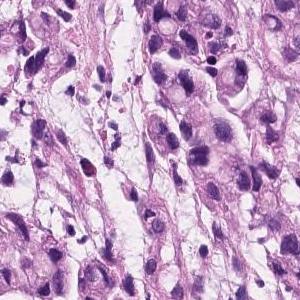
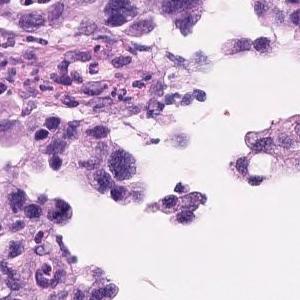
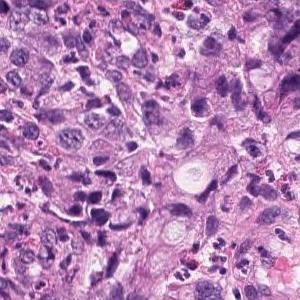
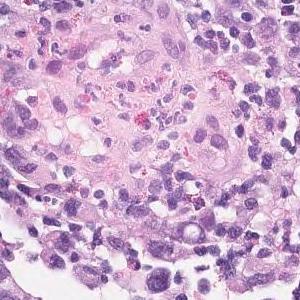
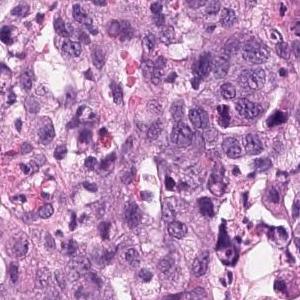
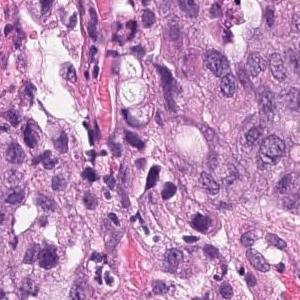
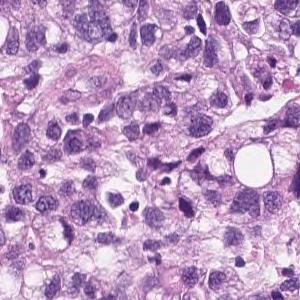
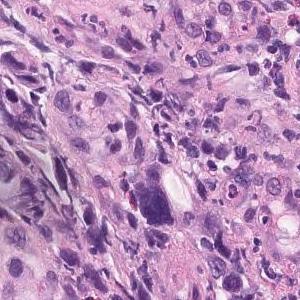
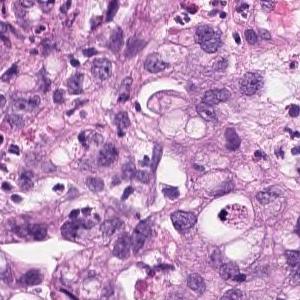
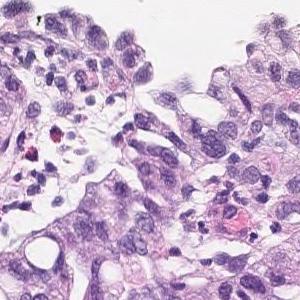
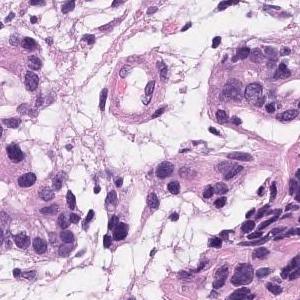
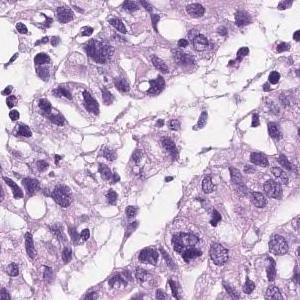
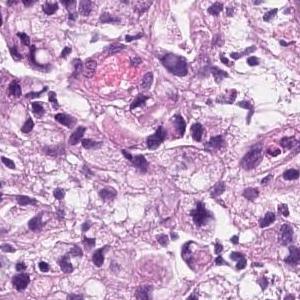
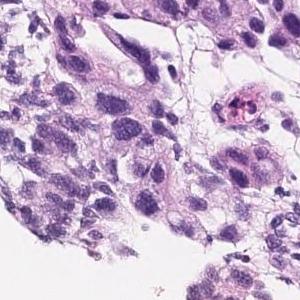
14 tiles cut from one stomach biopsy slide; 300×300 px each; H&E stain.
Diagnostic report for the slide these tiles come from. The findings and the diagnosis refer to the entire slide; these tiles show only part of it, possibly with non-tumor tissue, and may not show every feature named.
Group 5, Adenocarcinoma. Poorly differentiated adenocarcinoma, non-solid type
"Non-solid type" is a category of the Japanese Classification of Gastric Carcinoma.
